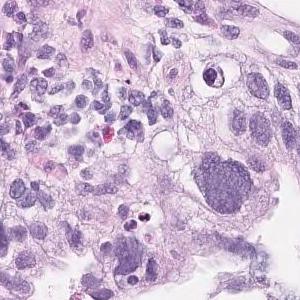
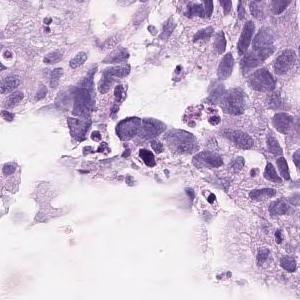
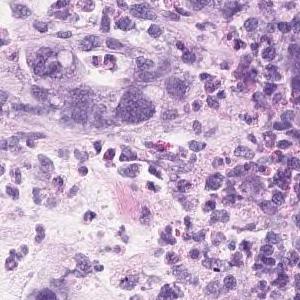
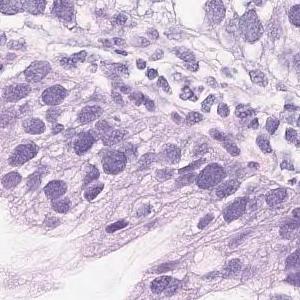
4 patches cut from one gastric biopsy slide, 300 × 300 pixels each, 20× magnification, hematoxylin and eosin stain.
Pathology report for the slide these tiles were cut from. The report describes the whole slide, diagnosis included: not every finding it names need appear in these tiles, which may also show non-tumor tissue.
On the superficial epithelium, tumor tissue consisting of large, irregular glandular ducts partially fused and infiltrated is observed. Well to moderately differentiated tubular adenocarcinoma (well differentiated tubular adenocarcinoma, moderately differentiated tubular adenocarcinoma)
Classified as well to moderately differentiated tubular adenocarcinoma.
